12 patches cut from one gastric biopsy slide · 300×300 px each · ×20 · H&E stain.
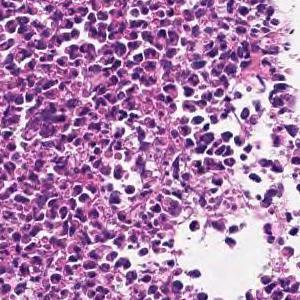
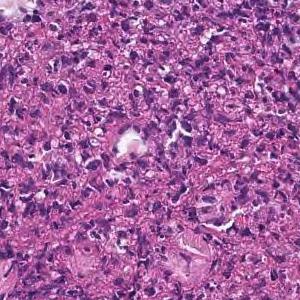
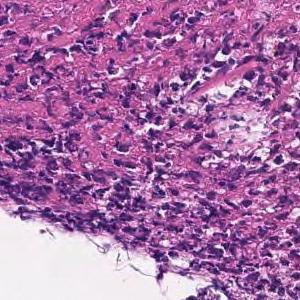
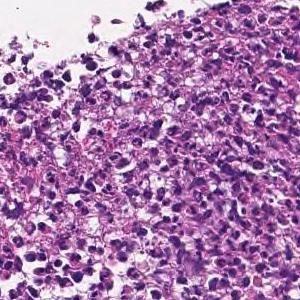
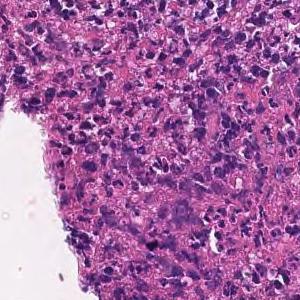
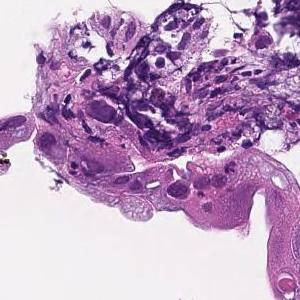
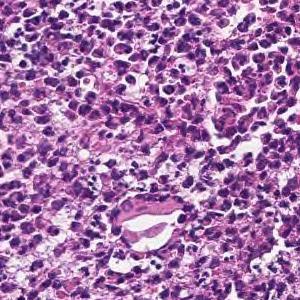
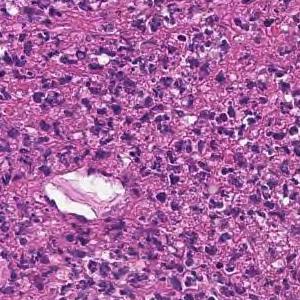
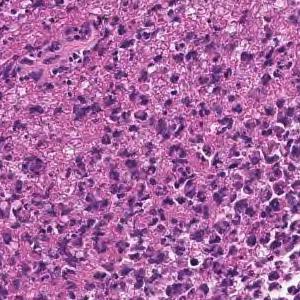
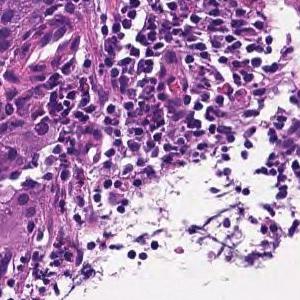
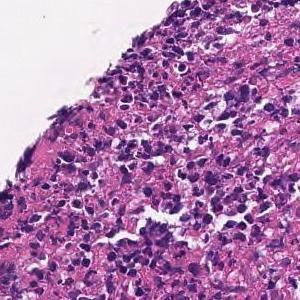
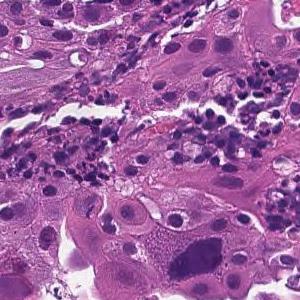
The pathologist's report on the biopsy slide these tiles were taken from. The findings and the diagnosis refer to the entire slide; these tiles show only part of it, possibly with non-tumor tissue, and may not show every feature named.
In the superficial epithelium, tumor tissue infiltrated by partial fusion of medium-sized to small, irregular glandular ducts is observed. moderately differentiated tubular adenocarcinoma
